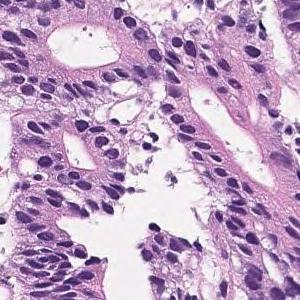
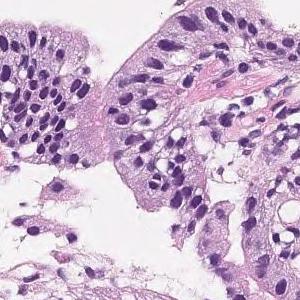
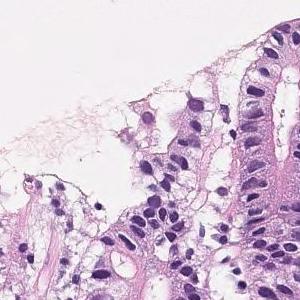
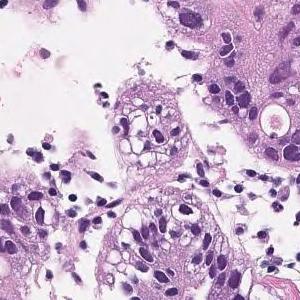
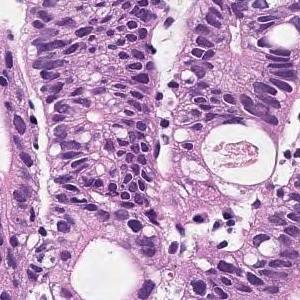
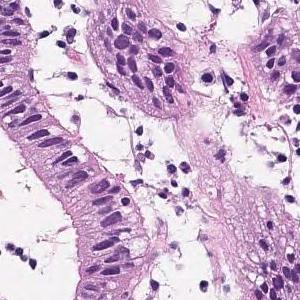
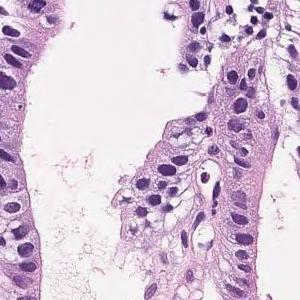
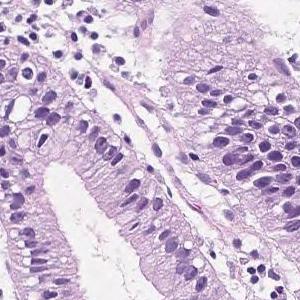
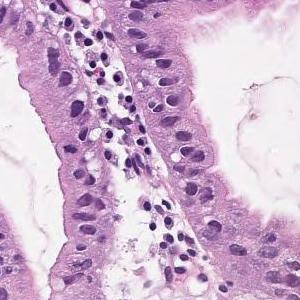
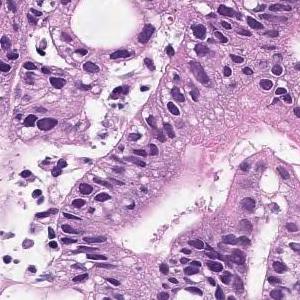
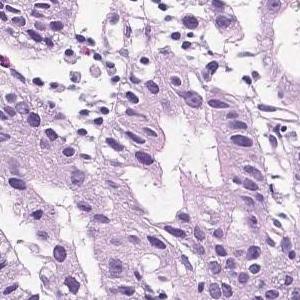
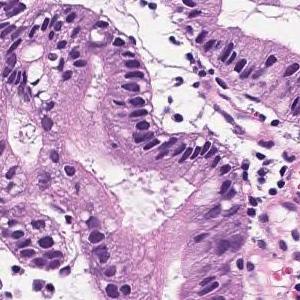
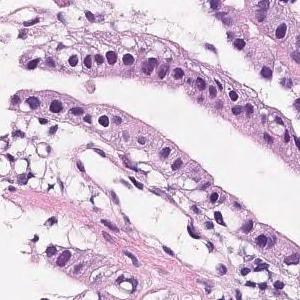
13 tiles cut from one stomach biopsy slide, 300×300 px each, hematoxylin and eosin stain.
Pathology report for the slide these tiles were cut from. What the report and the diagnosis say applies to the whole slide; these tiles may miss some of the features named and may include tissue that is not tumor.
On the superficial epithelium, tumor tissue that infiltrates by forming medium-sized papillary or small irregular ducts is observed. Papillary adenocarcinoma
